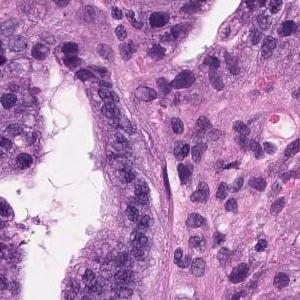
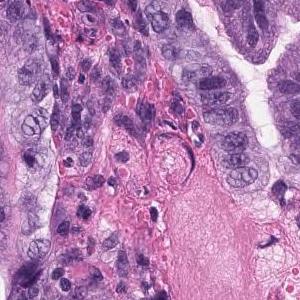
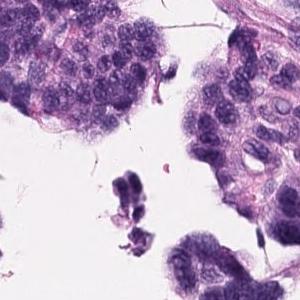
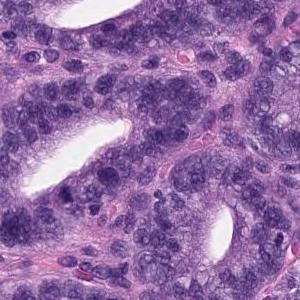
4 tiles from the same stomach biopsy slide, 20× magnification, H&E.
The pathologist's report on the biopsy slide these tiles were taken from. The report and the diagnosis cover the entire slide, so not every feature they name need be visible here, and some tissue shown may not be tumor.
Tumor cells are large, highly columnar, large club-shaped nuclei, and are associated with chromatin aggregation. Papillary adenocarcinoma.
